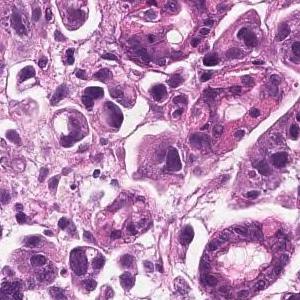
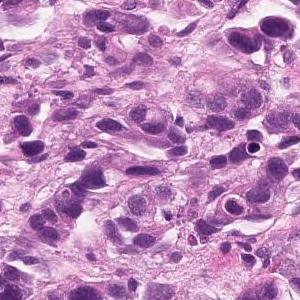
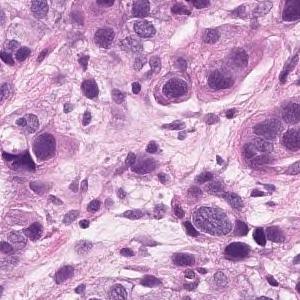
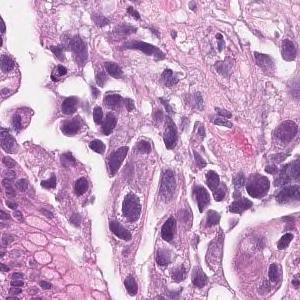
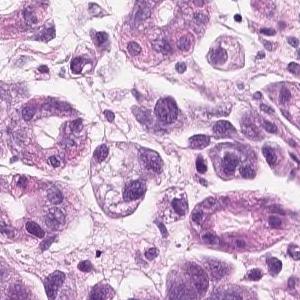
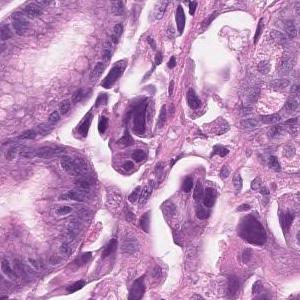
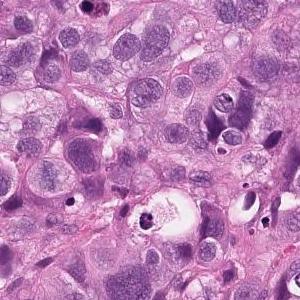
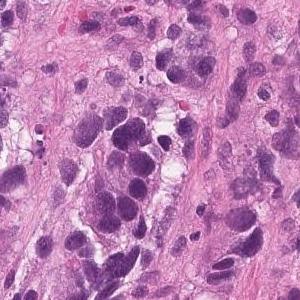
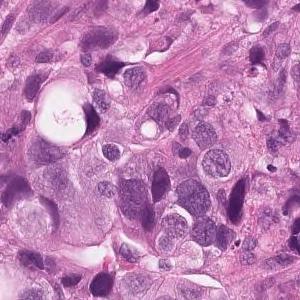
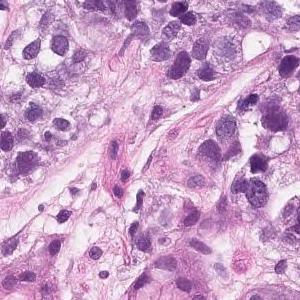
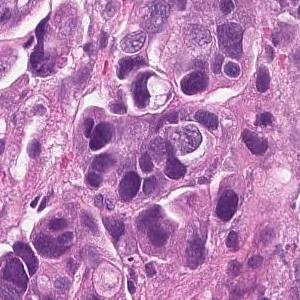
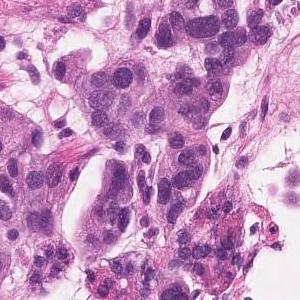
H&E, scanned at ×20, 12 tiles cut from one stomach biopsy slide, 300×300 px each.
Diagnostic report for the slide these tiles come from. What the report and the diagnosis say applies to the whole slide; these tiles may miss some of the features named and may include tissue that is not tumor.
Tumor tissue that infiltrates the epithelium in an alveolar manner. Poorly differentiated adenocarcinoma, solid-type
Classified as poorly differentiated adenocarcinoma, solid type (Japanese Classification of Gastric Carcinoma). The WHO 2019 equivalent is tubular adenocarcinoma, poorly differentiated.
